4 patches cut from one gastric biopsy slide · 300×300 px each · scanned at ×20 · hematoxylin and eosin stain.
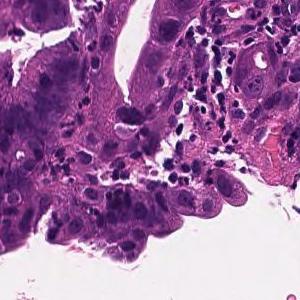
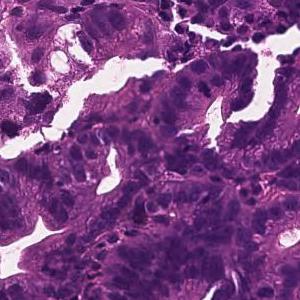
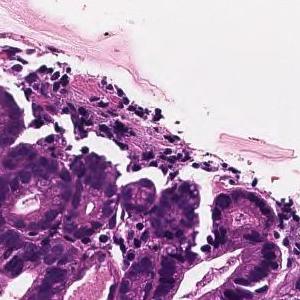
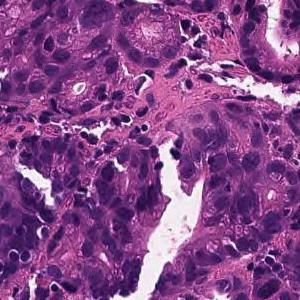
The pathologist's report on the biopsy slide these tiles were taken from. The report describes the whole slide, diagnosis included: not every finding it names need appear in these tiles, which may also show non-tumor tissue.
From the superficial epithelium to the muscularis mucosae, tumor tissue that invades by forming medium-sized irregular gland ducts is observed. Well differentiated tubular adenocarcinoma
